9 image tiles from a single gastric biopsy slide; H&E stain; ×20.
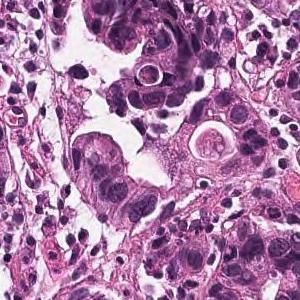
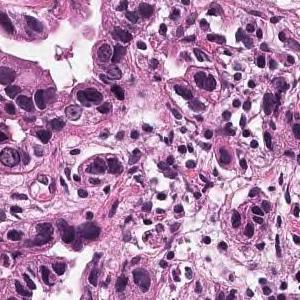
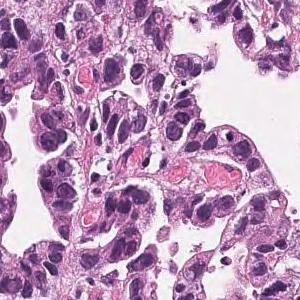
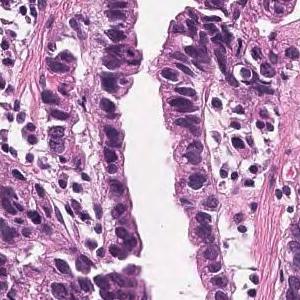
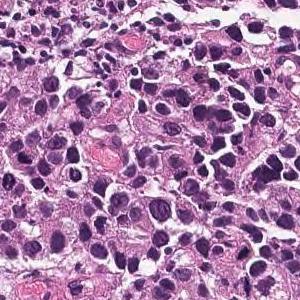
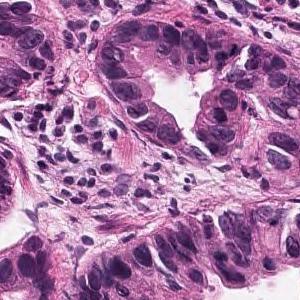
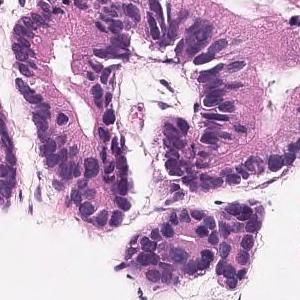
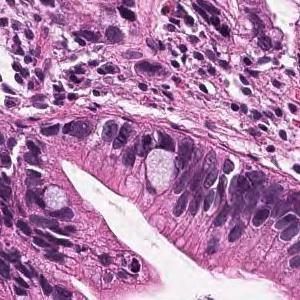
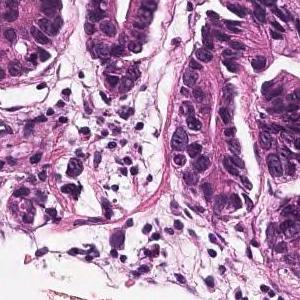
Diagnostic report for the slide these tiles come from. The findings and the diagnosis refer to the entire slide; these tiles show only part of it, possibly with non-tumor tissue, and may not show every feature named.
Medium to small, irregular glandular ducts are formed in the superficial epithelium, and in some cases, the glandular ducts are fused to show solid alveolar lesions and infiltrating tumor tissue is observed. Moderately to poorly differentiated adenocarcinoma.
